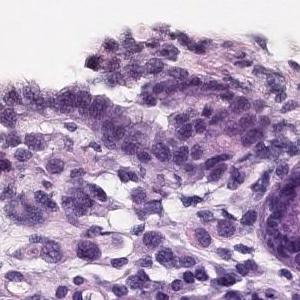
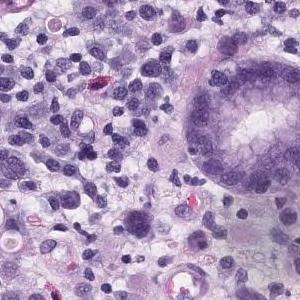
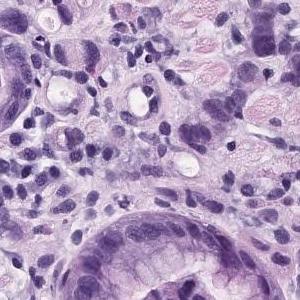
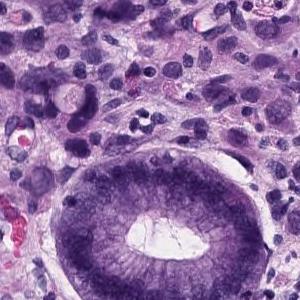
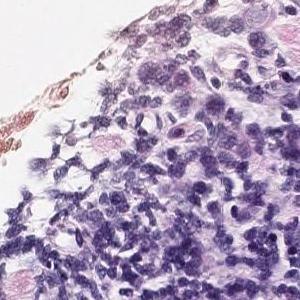
H&E; 5 image tiles from a single gastric biopsy slide; 300 × 300 pixels each.
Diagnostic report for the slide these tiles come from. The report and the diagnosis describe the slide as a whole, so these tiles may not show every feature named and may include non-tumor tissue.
Group 5, Adenocarcinoma. Poorly differentiated adenocarcinoma, non-solid type
The non-solid type named here is a Japanese Classification of Gastric Carcinoma category.
